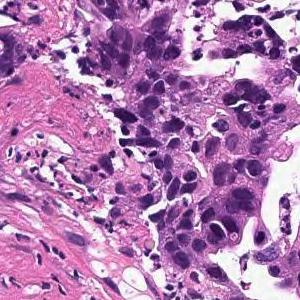
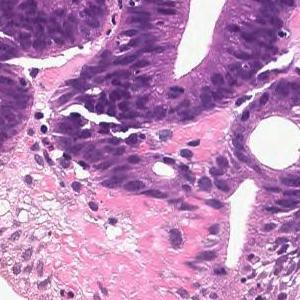
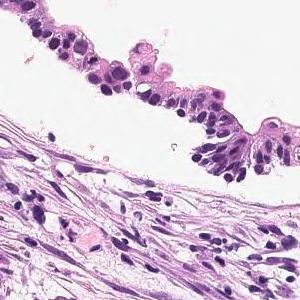
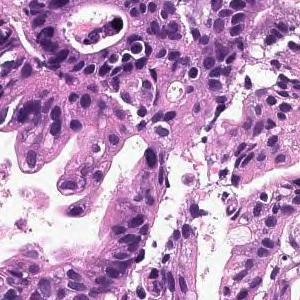
H&E stain; 4 tiles cut from one stomach biopsy slide; 300×300 px each.
The pathologist's report on the biopsy slide these tiles were taken from. The findings and the diagnosis refer to the entire slide; these tiles show only part of it, possibly with non-tumor tissue, and may not show every feature named.
In the superficial epithelium, tumor tissue that invades by forming medium-sized to small, irregular ducts is observed. moderately differentiated tubular adenocarcinoma.
